Hematoxylin and eosin stain · 15 tiles from the same stomach biopsy slide · 300×300 px each.
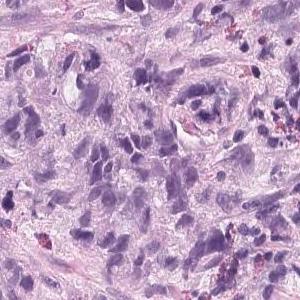
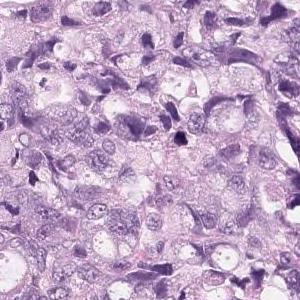
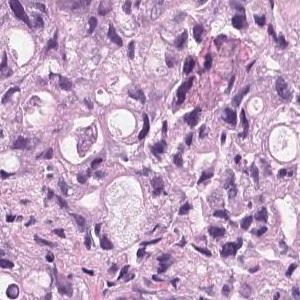
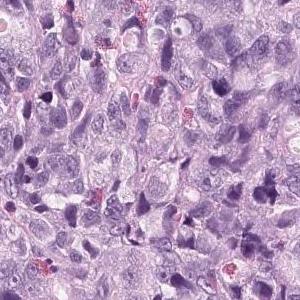
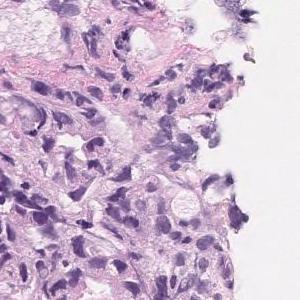
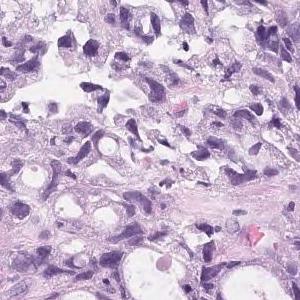
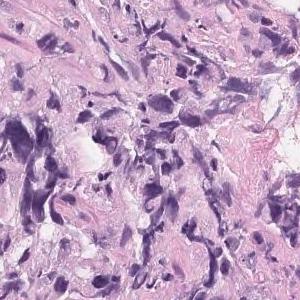
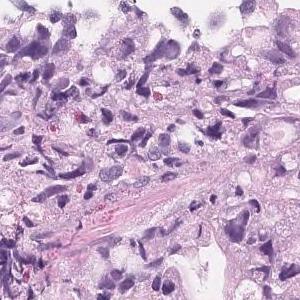
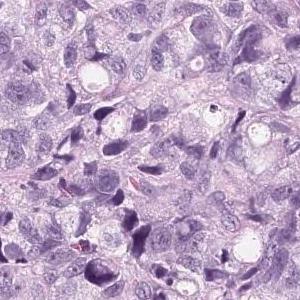
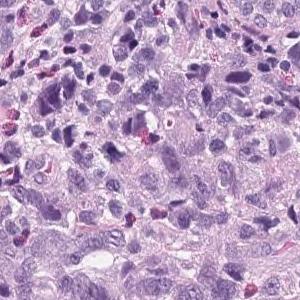
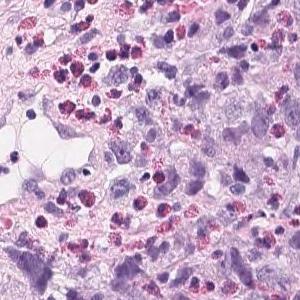
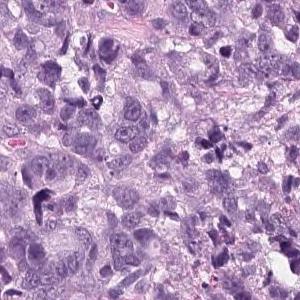
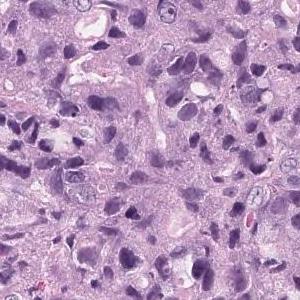
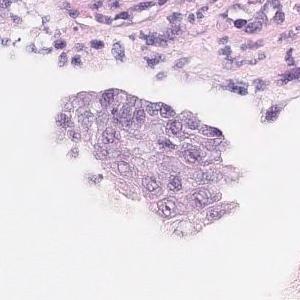
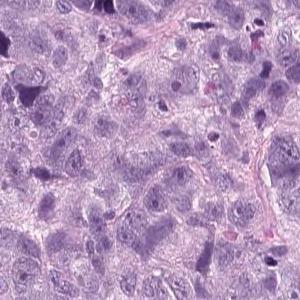
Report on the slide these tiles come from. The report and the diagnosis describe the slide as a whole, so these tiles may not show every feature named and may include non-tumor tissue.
Tumor tissue that infiltrates and proliferates by forming small glandular cavities in the superficial layer to the submucosa or forming a mass is observed. moderately differentiated tubular adenocarcinoma
